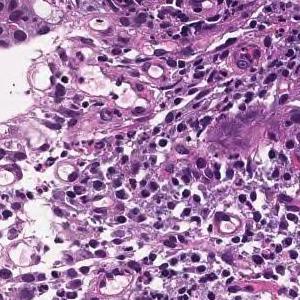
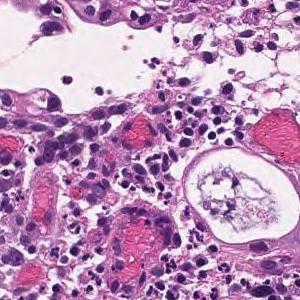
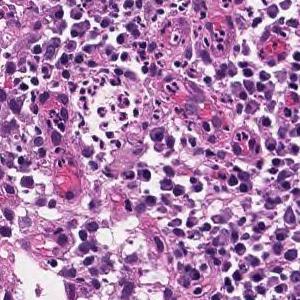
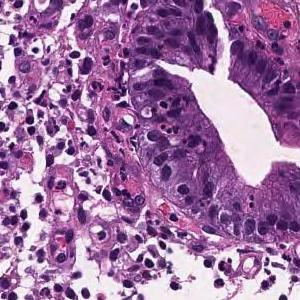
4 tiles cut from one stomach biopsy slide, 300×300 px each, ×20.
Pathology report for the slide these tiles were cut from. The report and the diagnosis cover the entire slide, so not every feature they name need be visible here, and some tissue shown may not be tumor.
On the superficial epithelium, tumor tissue consisting of large, irregular glandular ducts partially fused and infiltrated is observed. Well to moderately differentiated tubular adenocarcinoma (well differentiated tubular adenocarcinoma, moderately differentiated tubular adenocarcinoma)
Histologic type: Well to moderately differentiated tubular adenocarcinoma.
